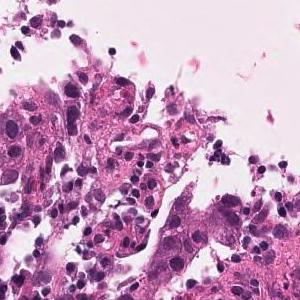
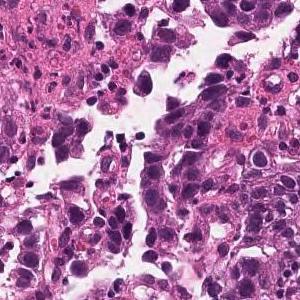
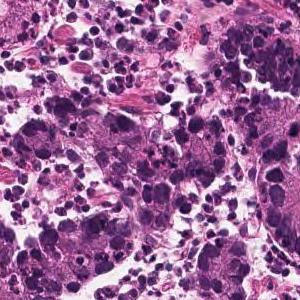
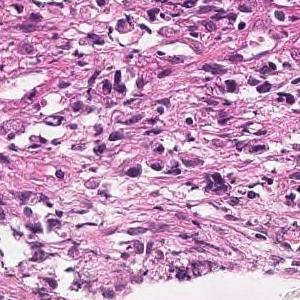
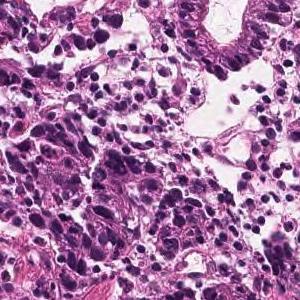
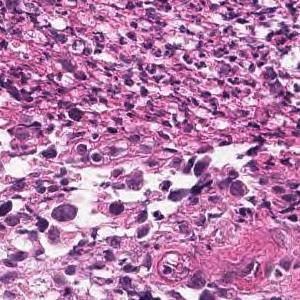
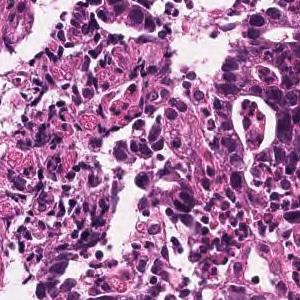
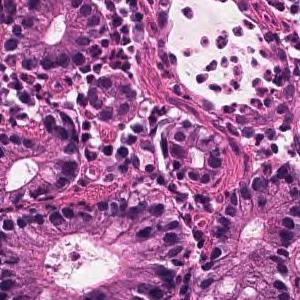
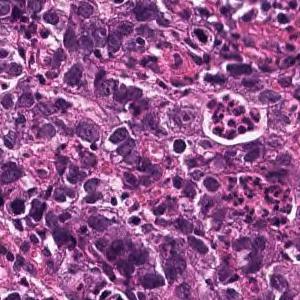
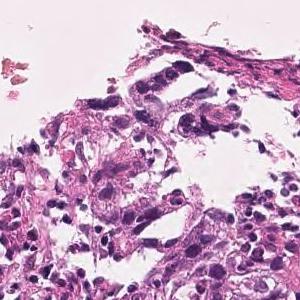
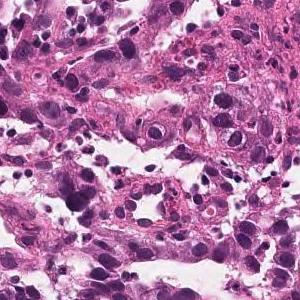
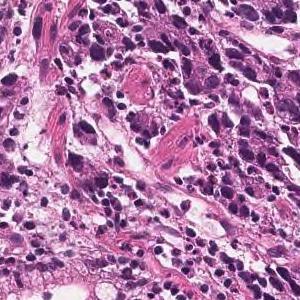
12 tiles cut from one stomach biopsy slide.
Diagnostic report for the slide these tiles come from. The findings and the diagnosis refer to the entire slide; these tiles show only part of it, possibly with non-tumor tissue, and may not show every feature named.
In the superficial epithelium, tumor tissue that invades by forming medium-sized to small, irregular ducts is observed. Moderately differentiated adenocarcinoma.
Classified as moderately differentiated tubular adenocarcinoma.
